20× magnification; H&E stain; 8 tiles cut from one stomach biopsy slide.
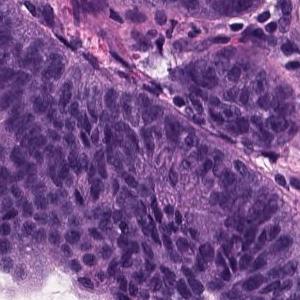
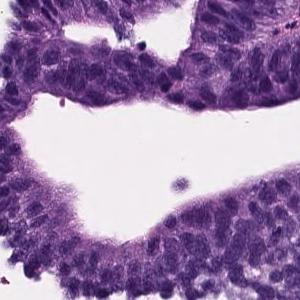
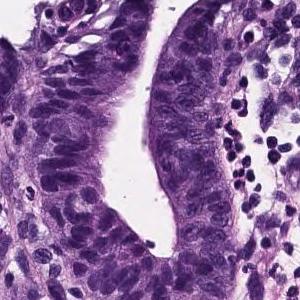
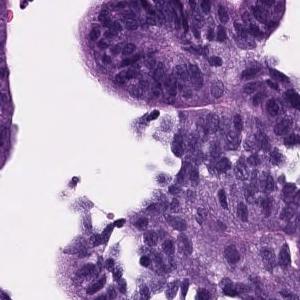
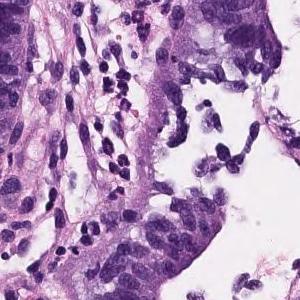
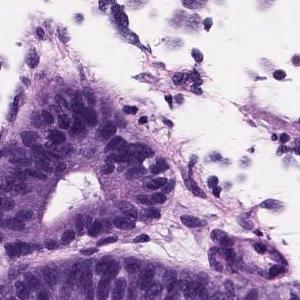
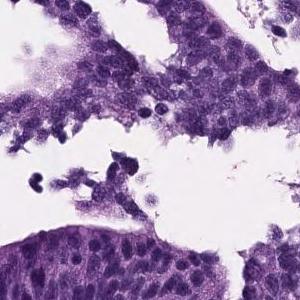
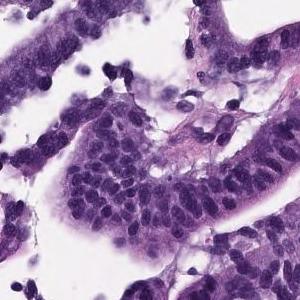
Report on the slide these tiles come from. The findings and the diagnosis refer to the entire slide; these tiles show only part of it, possibly with non-tumor tissue, and may not show every feature named.
Papillo-tubular growth of atypical tubules with nuclear swelling is observed. Well differentiated tubular adenocarcinoma
